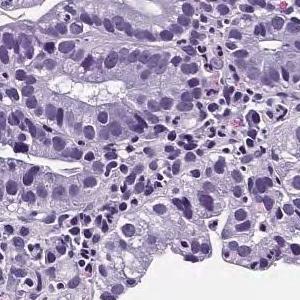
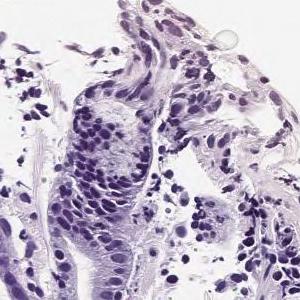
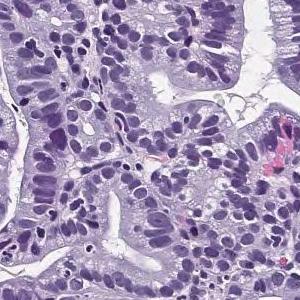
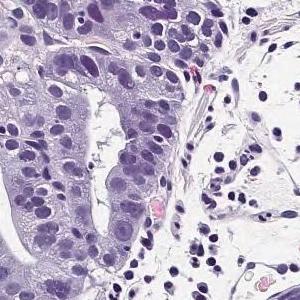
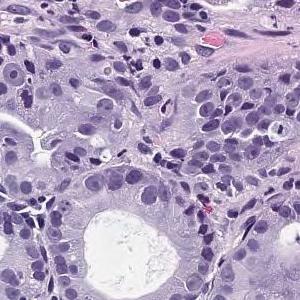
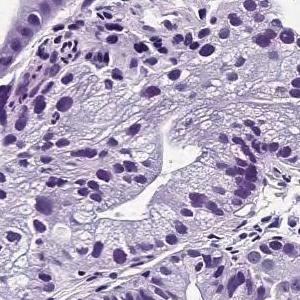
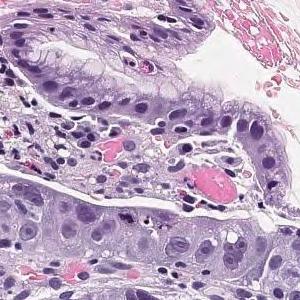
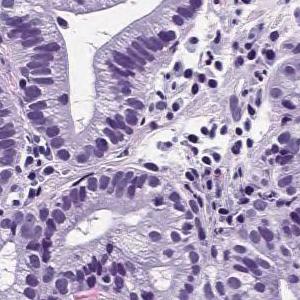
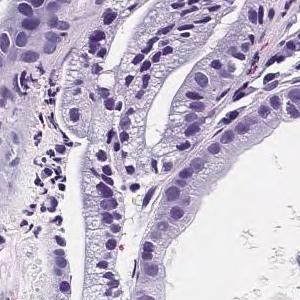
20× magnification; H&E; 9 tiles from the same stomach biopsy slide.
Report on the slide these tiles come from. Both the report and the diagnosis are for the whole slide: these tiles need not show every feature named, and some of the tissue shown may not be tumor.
From the superficial epithelium to the muscularis mucosae, tumor tissue consisting of medium-sized and irregular glandular ducts infiltrating is observed. Well differentiated tubular adenocarcinoma
